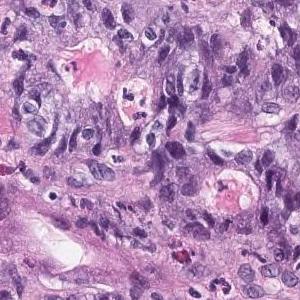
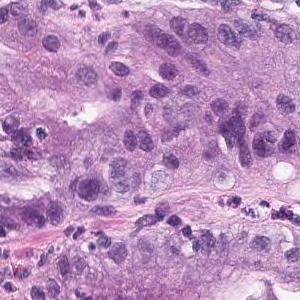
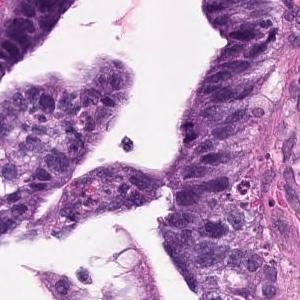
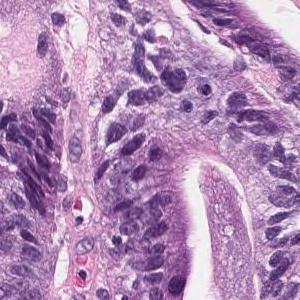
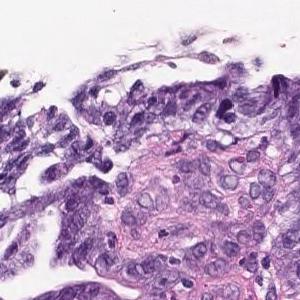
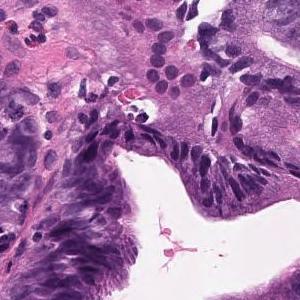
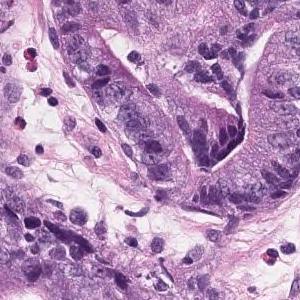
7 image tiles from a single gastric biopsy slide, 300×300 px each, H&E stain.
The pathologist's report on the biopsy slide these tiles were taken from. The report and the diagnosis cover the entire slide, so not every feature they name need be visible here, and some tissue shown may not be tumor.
Large atypical epithelial cells with swollen atypical nuclei are seen proliferating into a tubular fusion gland. moderately differentiated tubular adenocarcinoma
